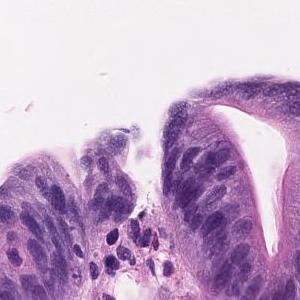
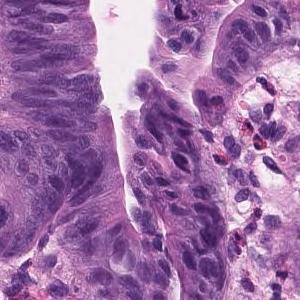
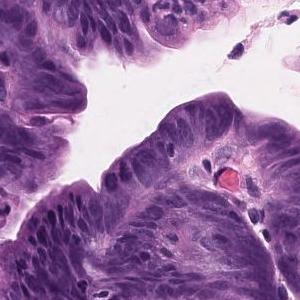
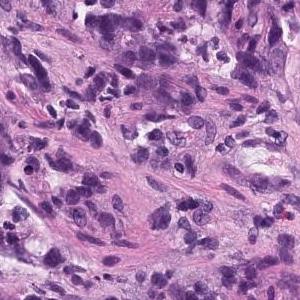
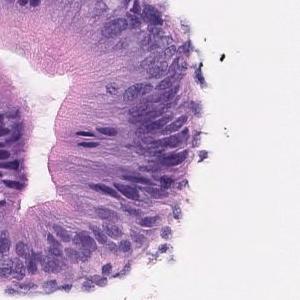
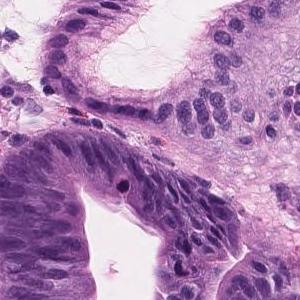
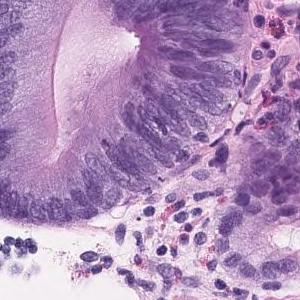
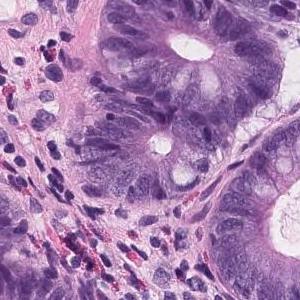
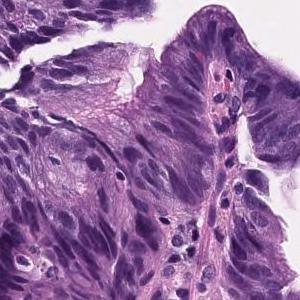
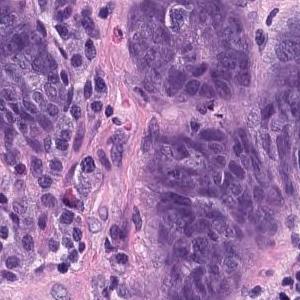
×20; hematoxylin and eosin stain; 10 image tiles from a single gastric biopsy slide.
Pathology report for the biopsy slide these tiles were cut from. What the report and the diagnosis say applies to the whole slide; these tiles may miss some of the features named and may include tissue that is not tumor.
On the superficial epithelium, tumor tissue with densely growing medium to large, round tubules is observed. Tumor cells are highly columnar, with nuclei aligned basolaterally and polarized. Well differentiated tubular adenocarcinoma
